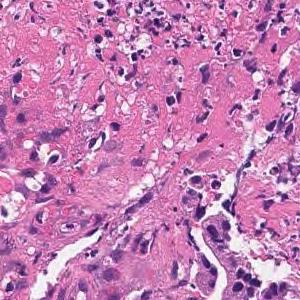
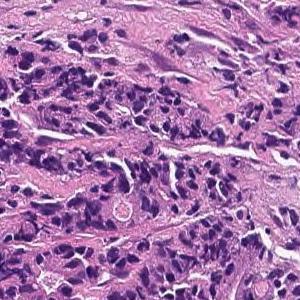
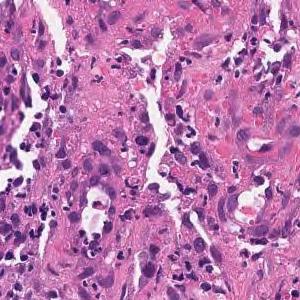
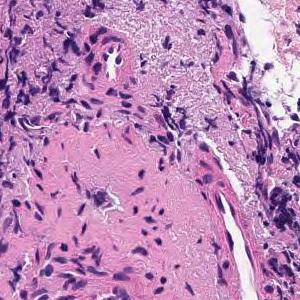
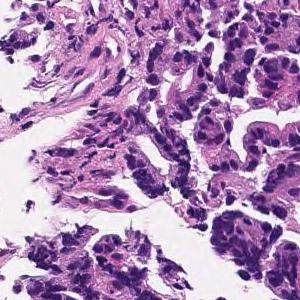
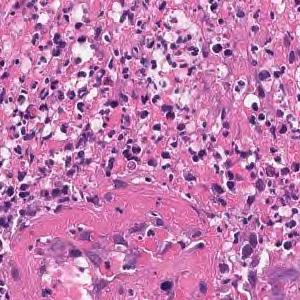
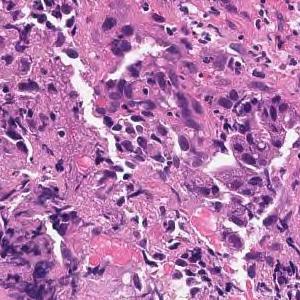
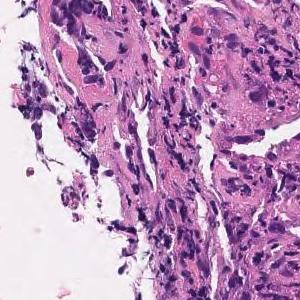
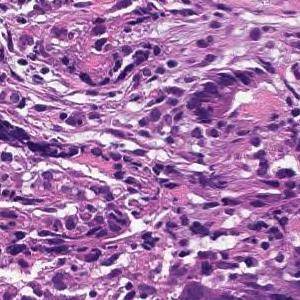
9 patches cut from one gastric biopsy slide; ×20; H&E stain.
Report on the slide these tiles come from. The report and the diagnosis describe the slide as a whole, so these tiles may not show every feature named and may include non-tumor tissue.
Tumor tissue consisting of medium-sized, cord-like or irregular glandular infiltration is observed in the superficial epithelium. Poorly differentiated adenocarcinoma, non-solid type or moderately differentiated tubular adenocarcinoma
Classified as moderately to poorly differentiated adenocarcinoma.
"Non-solid type" is a category of the Japanese Classification of Gastric Carcinoma.
